H&E stain, 10 tiles from the same stomach biopsy slide.
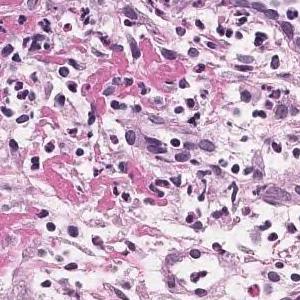
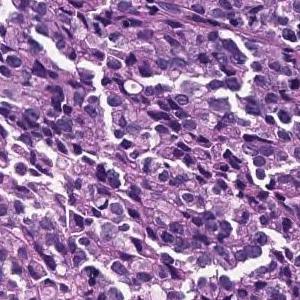
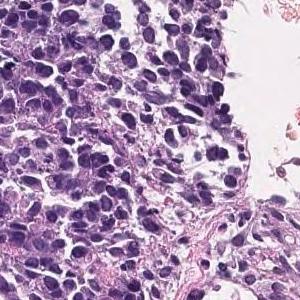
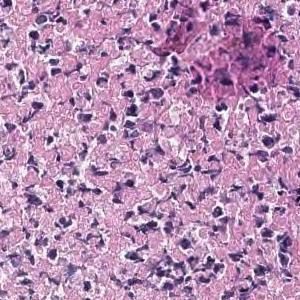
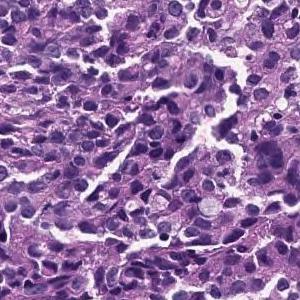
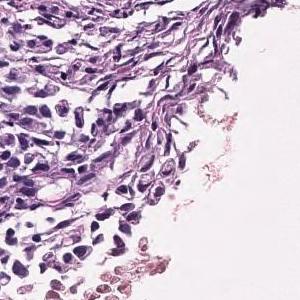
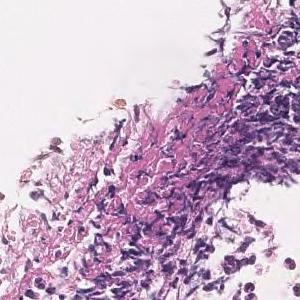
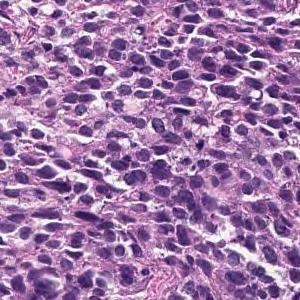
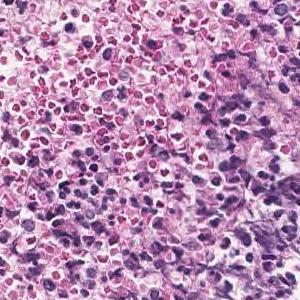
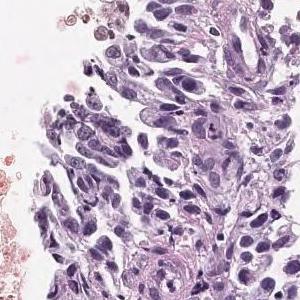
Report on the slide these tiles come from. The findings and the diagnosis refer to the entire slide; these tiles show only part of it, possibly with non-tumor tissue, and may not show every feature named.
The superficial epithelium shows a large sheet-like shape, and some tumor tissue infiltrates with small irregular ducts. Poorly differentiated adenocarcinoma, solid-type
Tumor subtype: poorly differentiated adenocarcinoma, solid type, a category of the Japanese Classification of Gastric Carcinoma; in the WHO 2019 classification it is tubular adenocarcinoma, poorly differentiated.
